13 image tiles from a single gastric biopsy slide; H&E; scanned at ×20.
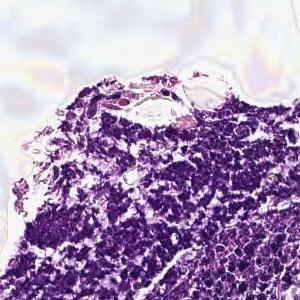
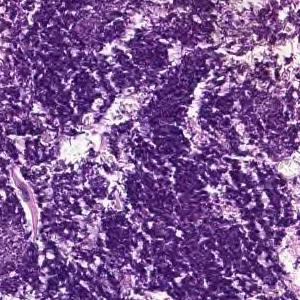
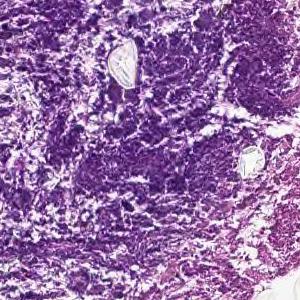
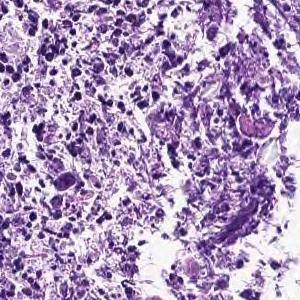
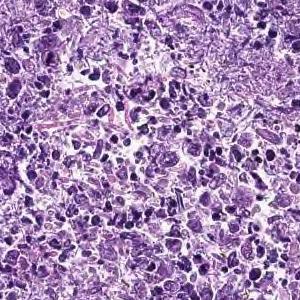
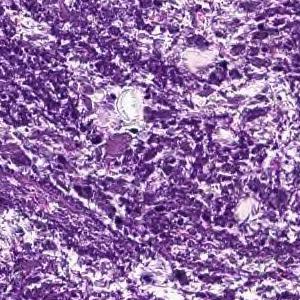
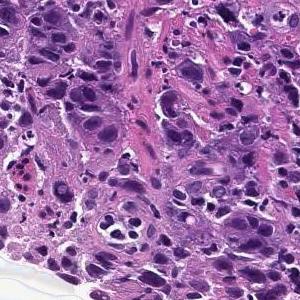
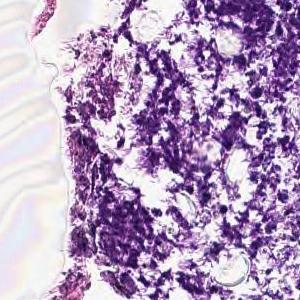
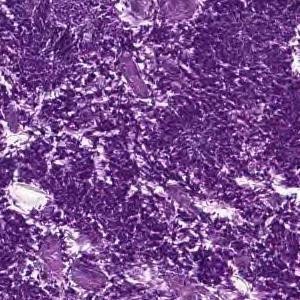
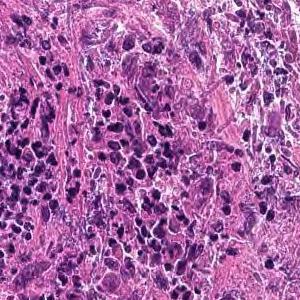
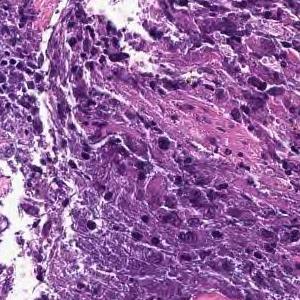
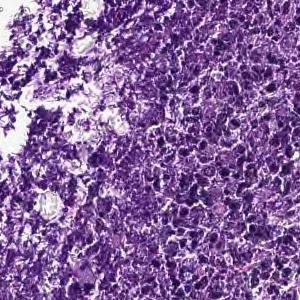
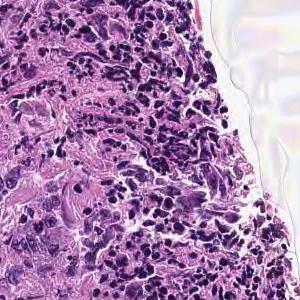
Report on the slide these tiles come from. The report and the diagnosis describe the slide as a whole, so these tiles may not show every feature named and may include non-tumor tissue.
Cancers with polygonal nuclei do not show glandular formation and are densely, in part, cord-like and proliferate. Poorly differentiated adenocarcinoma
Subtype: Poorly differentiated adenocarcinoma, non-solid type.
"Non-solid type" is a category of the Japanese Classification of Gastric Carcinoma.
